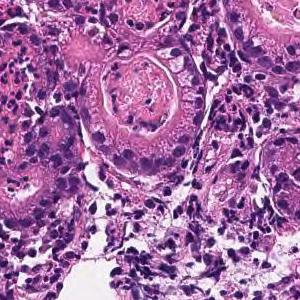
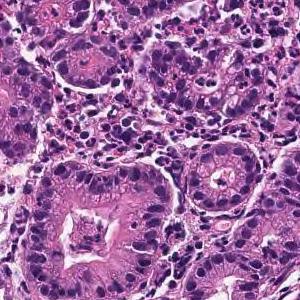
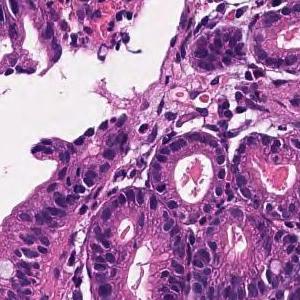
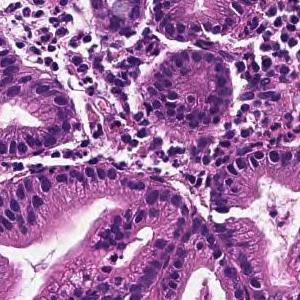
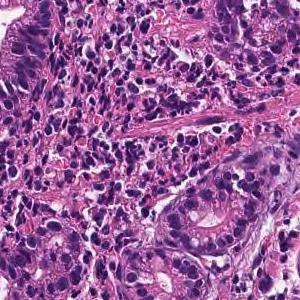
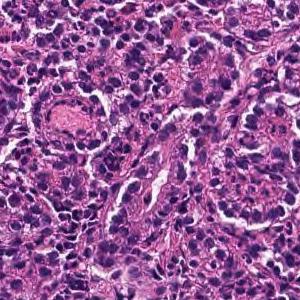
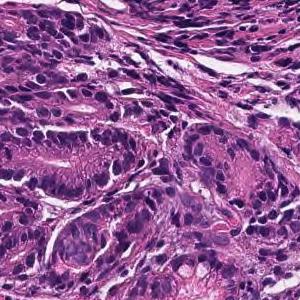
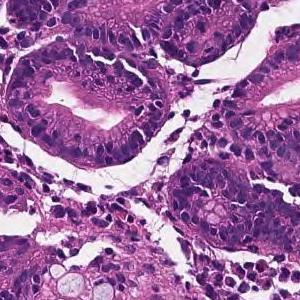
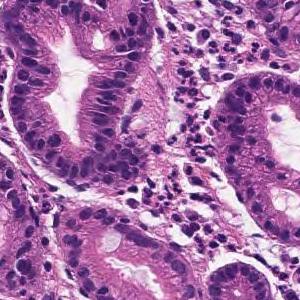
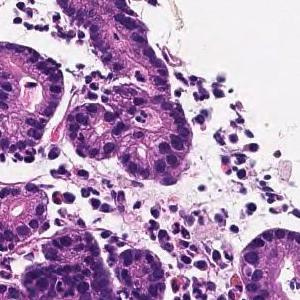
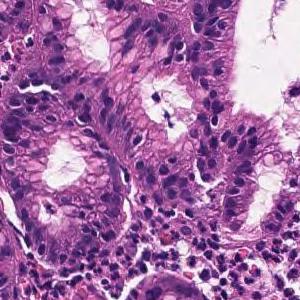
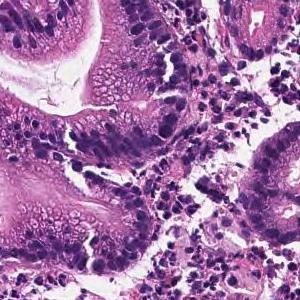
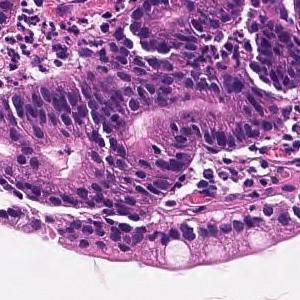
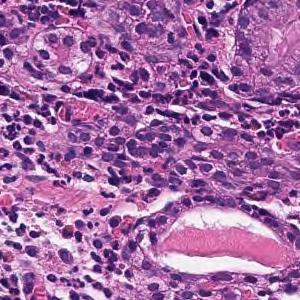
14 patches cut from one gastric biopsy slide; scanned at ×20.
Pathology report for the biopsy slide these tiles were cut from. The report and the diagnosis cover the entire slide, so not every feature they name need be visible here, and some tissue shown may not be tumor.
Tumor tissue infiltrated and proliferated with small to medium-sized irregular tubules is observed in the superficial epithelium. Well differentiated tubular adenocarcinoma
